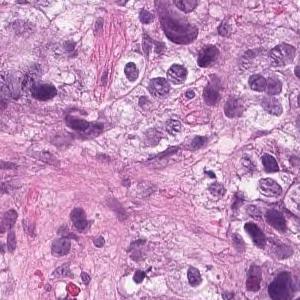
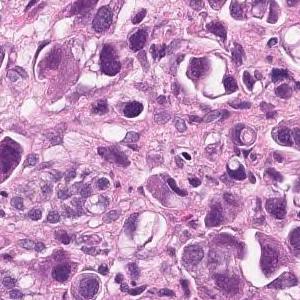
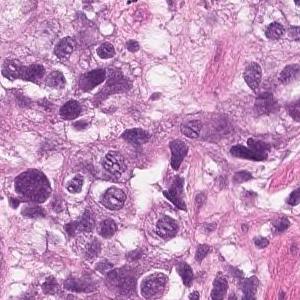
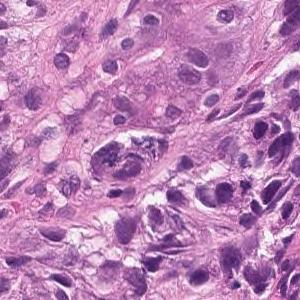
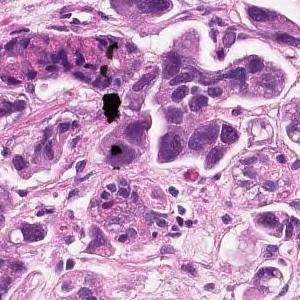
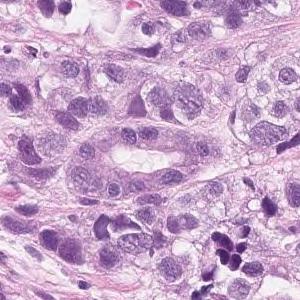
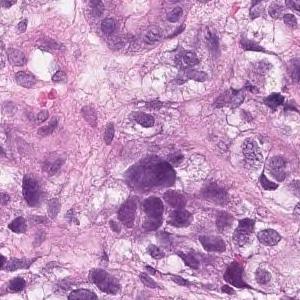
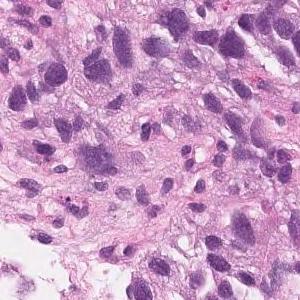
×20 · hematoxylin and eosin stain · 8 tiles cut from one stomach biopsy slide · 300 × 300 pixels each.
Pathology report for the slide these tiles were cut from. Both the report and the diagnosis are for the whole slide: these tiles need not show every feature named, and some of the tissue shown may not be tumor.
Tumor tissue that infiltrates the epithelium in an alveolar manner. Poorly differentiated adenocarcinoma, solid-type
Histologic type: Poorly differentiated adenocarcinoma, solid type, a category of the Japanese Classification of Gastric Carcinoma; in the WHO 2019 classification it is tubular adenocarcinoma, poorly differentiated.
